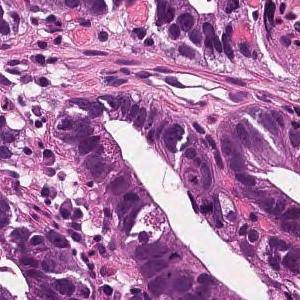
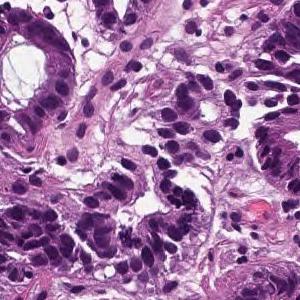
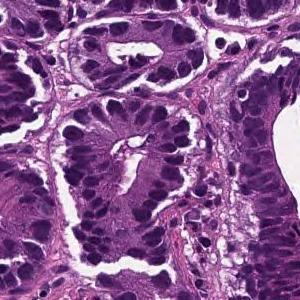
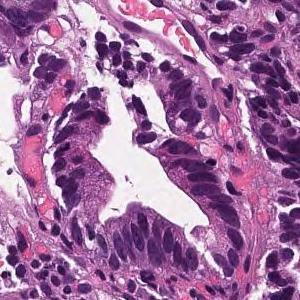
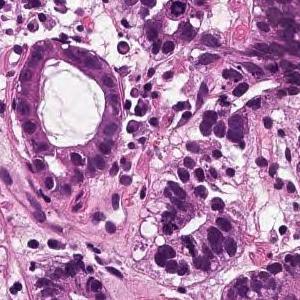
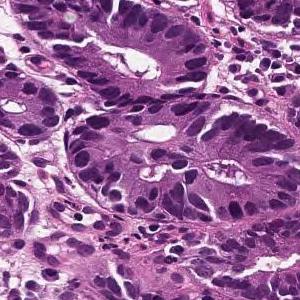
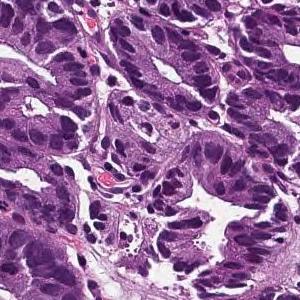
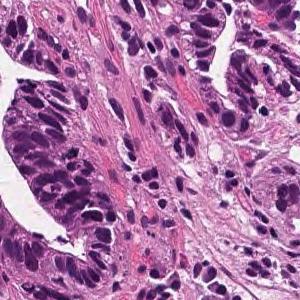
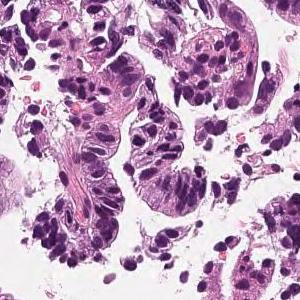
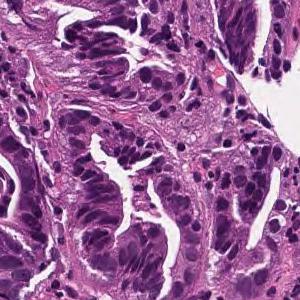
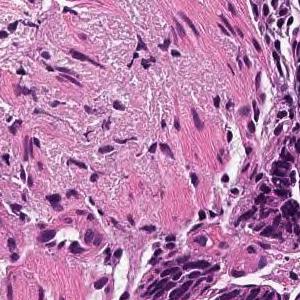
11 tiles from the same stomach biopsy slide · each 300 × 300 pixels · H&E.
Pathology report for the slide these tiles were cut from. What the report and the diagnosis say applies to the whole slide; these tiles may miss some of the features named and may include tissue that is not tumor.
From the superficial epithelium to the muscularis mucosae, tumor tissue consisting of medium-sized and irregular glandular ducts infiltrating is observed. Well differentiated tubular adenocarcinoma
